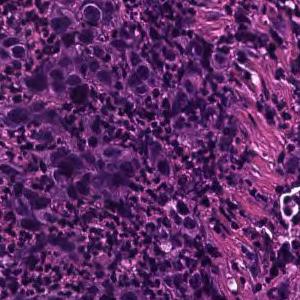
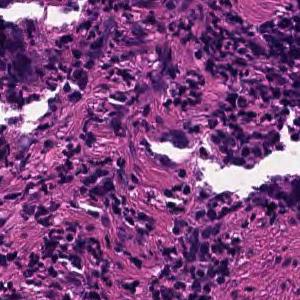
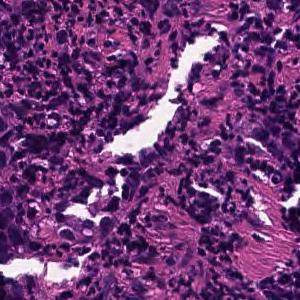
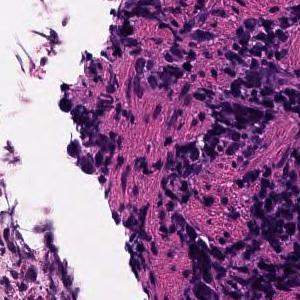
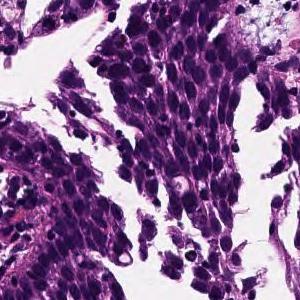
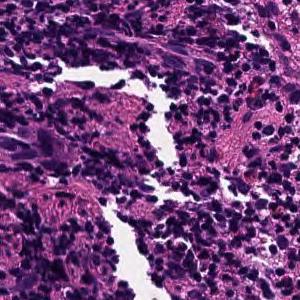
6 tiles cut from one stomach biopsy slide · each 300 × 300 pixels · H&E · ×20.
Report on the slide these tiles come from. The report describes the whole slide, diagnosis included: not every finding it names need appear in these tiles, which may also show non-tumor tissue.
Tumor tissue consisting of cord-like or small, irregular glandular ducts fused and infiltrated is observed in the superficial epithelium. Poorly differentiated adenocarcinoma, non-solid type
The term "non-solid type" comes from the Japanese Classification of Gastric Carcinoma.
